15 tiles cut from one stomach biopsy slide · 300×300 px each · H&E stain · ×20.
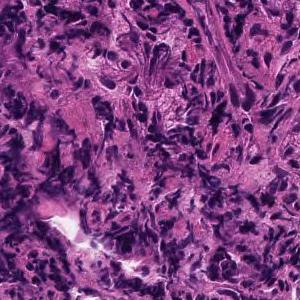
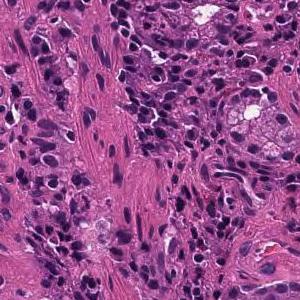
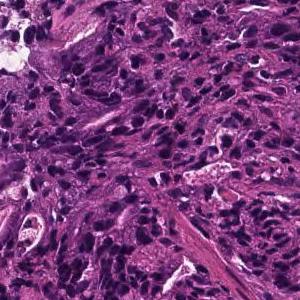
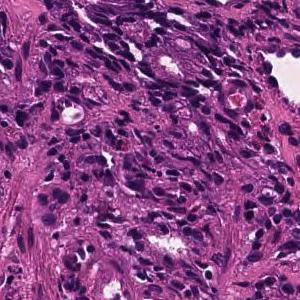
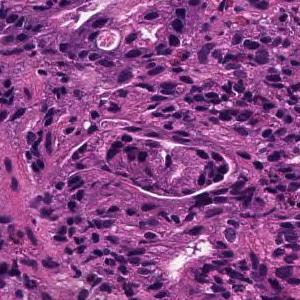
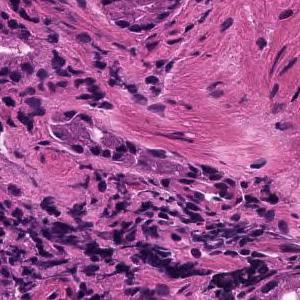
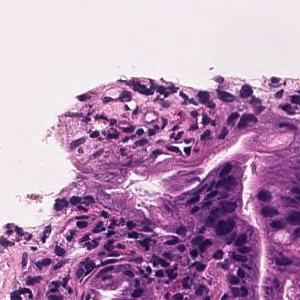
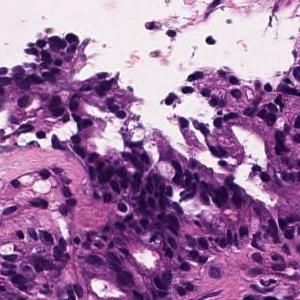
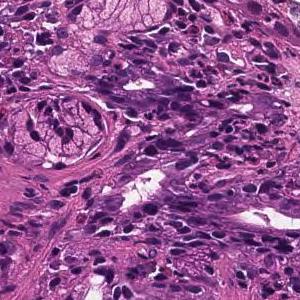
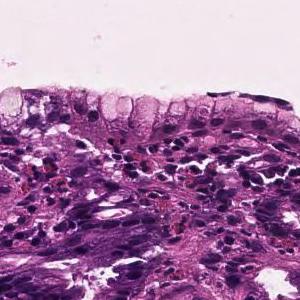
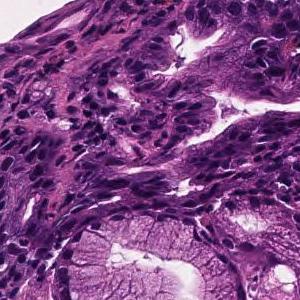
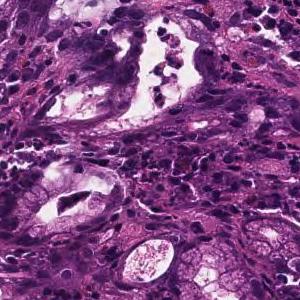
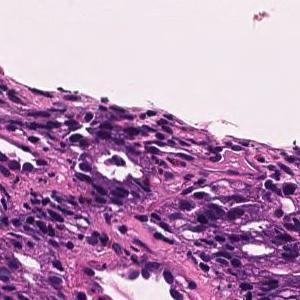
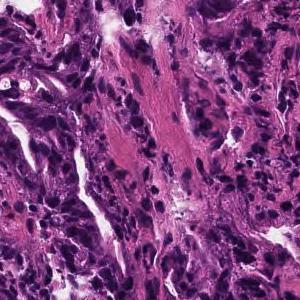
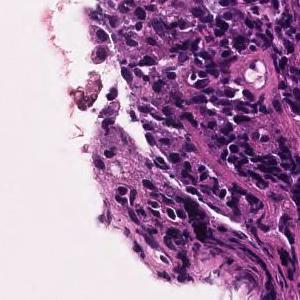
Diagnostic report for the slide these tiles come from. The report and the diagnosis cover the entire slide, so not every feature they name need be visible here, and some tissue shown may not be tumor.
In the superficial epithelium, tumor tissue that invades by forming medium-sized to small, irregular ducts is observed. moderately differentiated tubular adenocarcinoma.
